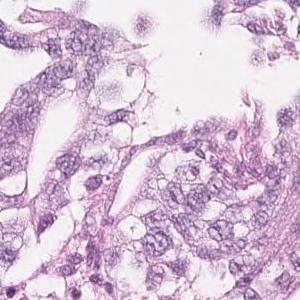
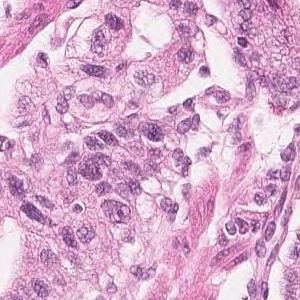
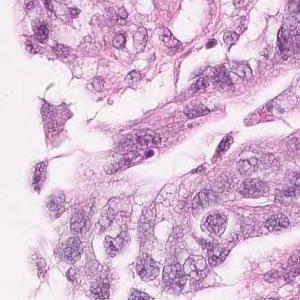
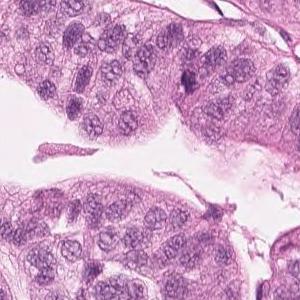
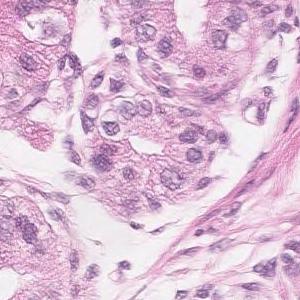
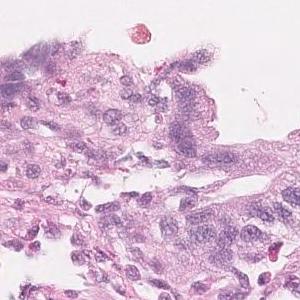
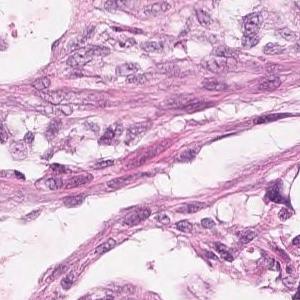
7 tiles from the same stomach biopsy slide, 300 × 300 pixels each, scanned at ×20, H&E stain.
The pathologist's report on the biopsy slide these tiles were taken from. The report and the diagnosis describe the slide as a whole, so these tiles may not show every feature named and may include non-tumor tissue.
Highly columnar epithelium with disordered nuclear localization proliferates showing fusion ductal construction. moderately differentiated tubular adenocarcinoma
